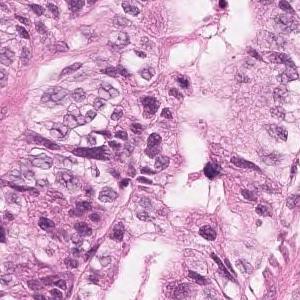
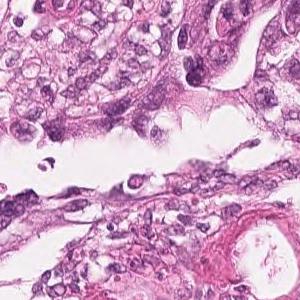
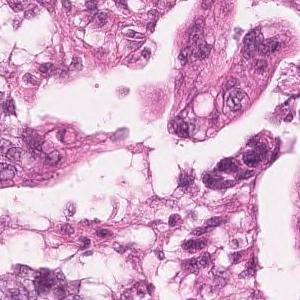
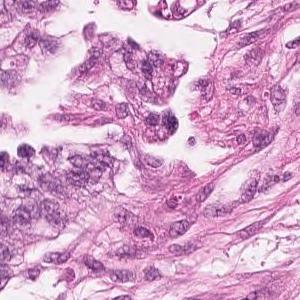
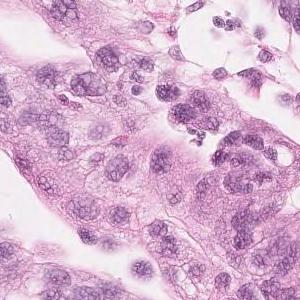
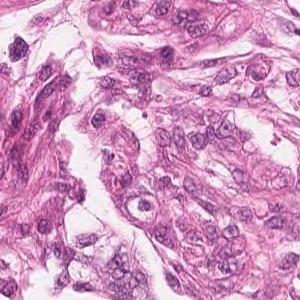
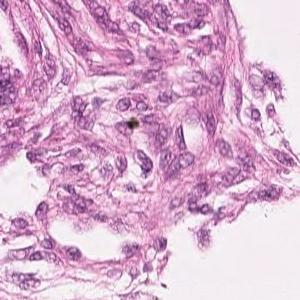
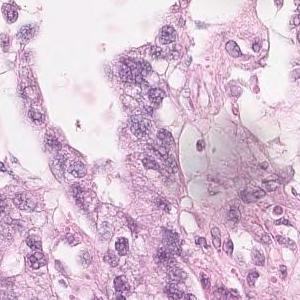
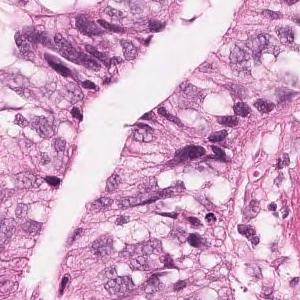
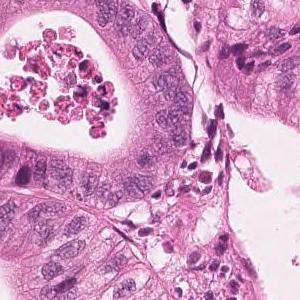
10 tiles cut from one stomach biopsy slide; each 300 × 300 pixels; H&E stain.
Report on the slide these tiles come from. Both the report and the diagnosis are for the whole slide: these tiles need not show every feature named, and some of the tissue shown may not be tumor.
Highly columnar epithelium with disordered nuclear localization proliferates showing fusion ductal construction. moderately differentiated tubular adenocarcinoma
